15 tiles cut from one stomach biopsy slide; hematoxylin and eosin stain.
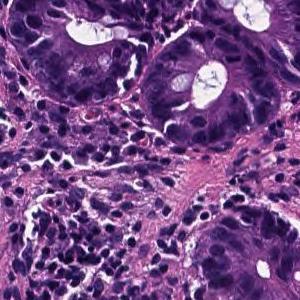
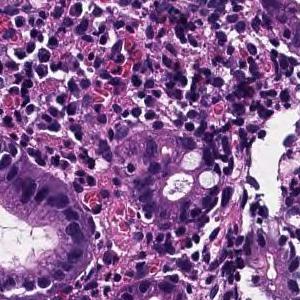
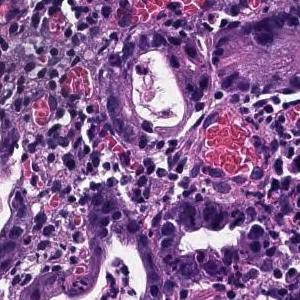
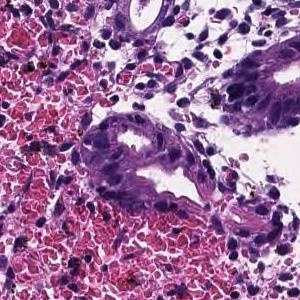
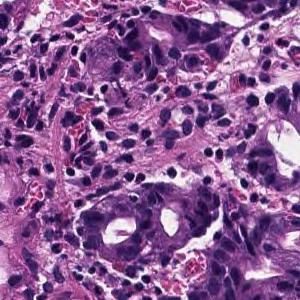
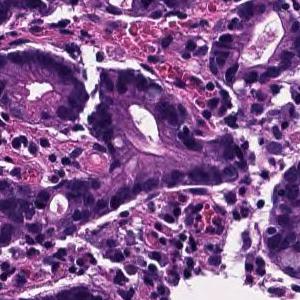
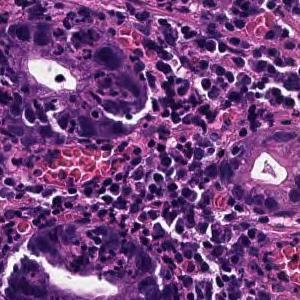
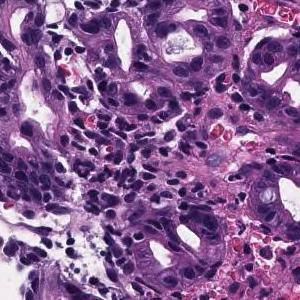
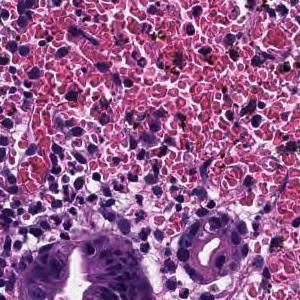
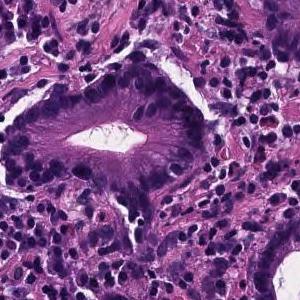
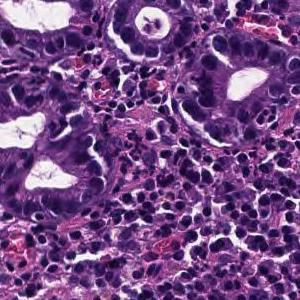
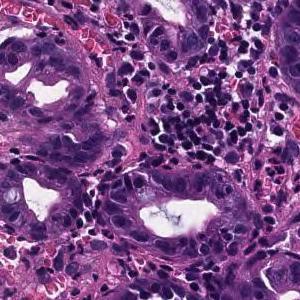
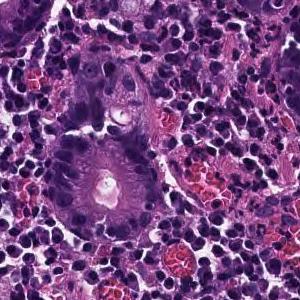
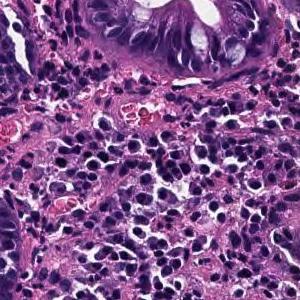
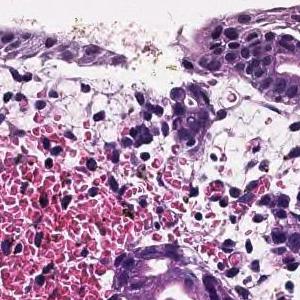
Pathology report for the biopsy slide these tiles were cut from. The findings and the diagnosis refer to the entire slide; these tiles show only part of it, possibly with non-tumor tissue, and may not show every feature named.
In the superficial epithelium, tumor tissue that invades by forming medium-sized to small, irregular ducts is observed. moderately differentiated tubular adenocarcinoma.
